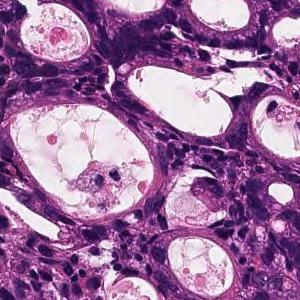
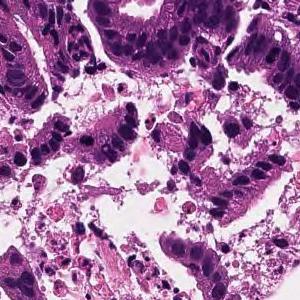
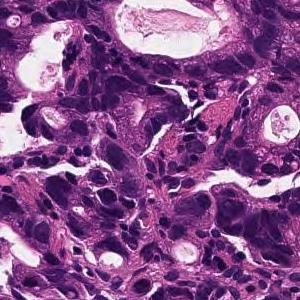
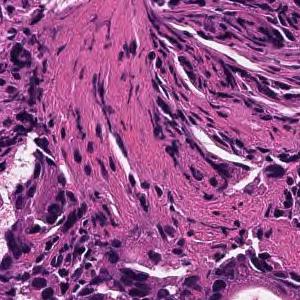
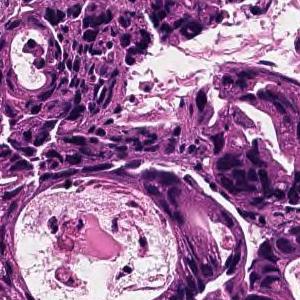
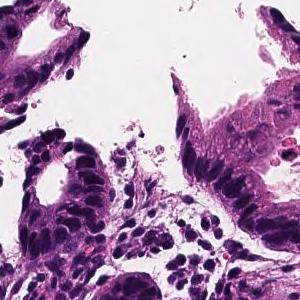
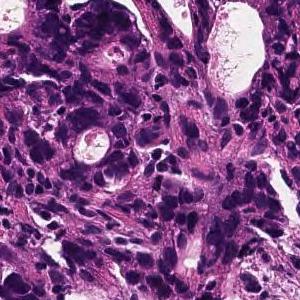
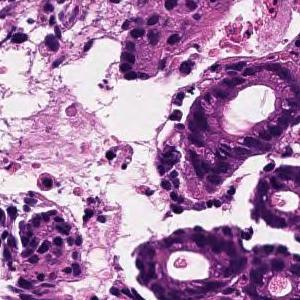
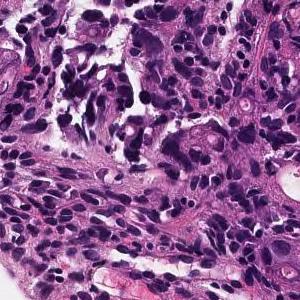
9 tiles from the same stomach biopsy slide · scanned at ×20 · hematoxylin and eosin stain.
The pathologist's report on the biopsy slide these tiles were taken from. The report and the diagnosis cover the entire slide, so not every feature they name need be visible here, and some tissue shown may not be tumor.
In the superficial epithelium, tumor tissue that invades by forming medium-sized to small, irregular ducts is observed. moderately differentiated tubular adenocarcinoma.
